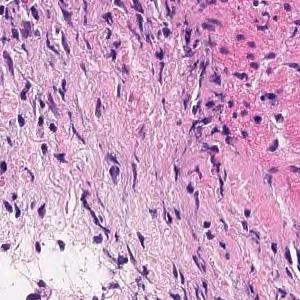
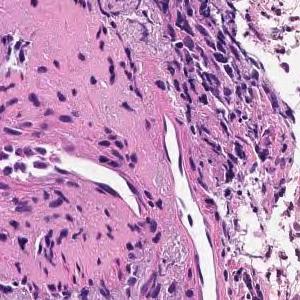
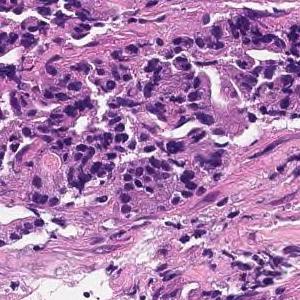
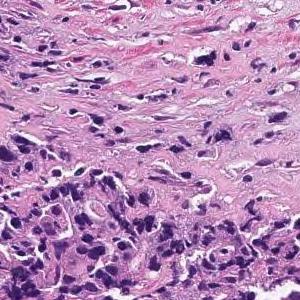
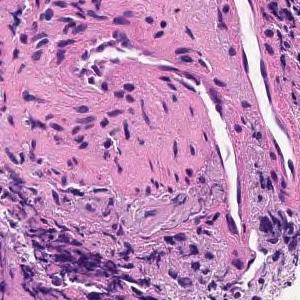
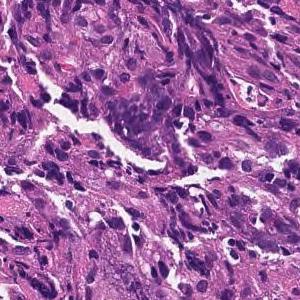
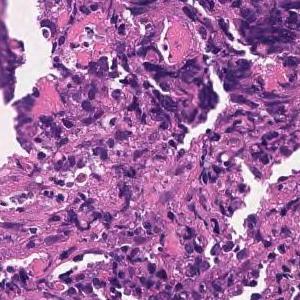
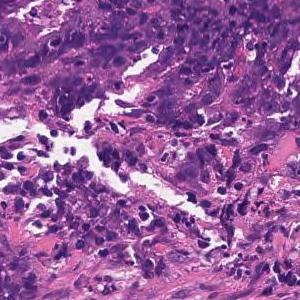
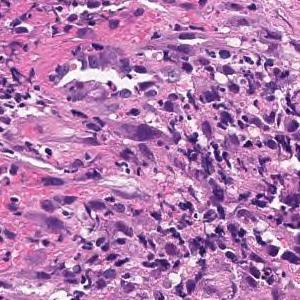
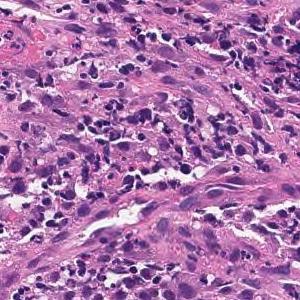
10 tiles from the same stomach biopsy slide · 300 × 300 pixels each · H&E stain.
Diagnostic report for the slide these tiles come from. The report describes the whole slide, diagnosis included: not every finding it names need appear in these tiles, which may also show non-tumor tissue.
Tumor tissue consisting of medium-sized, cord-like or irregular glandular infiltration is observed in the superficial epithelium. Poorly differentiated adenocarcinoma, non-solid type or moderately differentiated tubular adenocarcinoma
Histological subtype: Moderately to poorly differentiated adenocarcinoma.
"Non-solid type" is a category of the Japanese Classification of Gastric Carcinoma.
